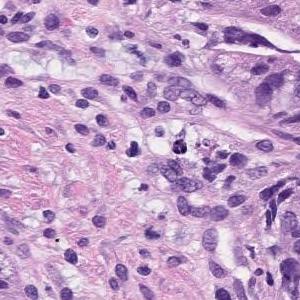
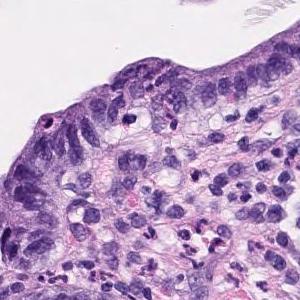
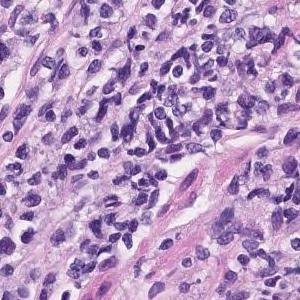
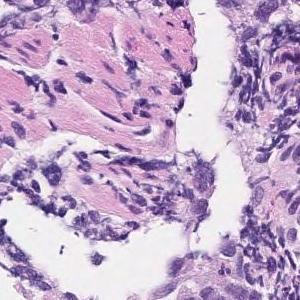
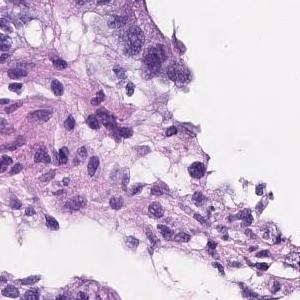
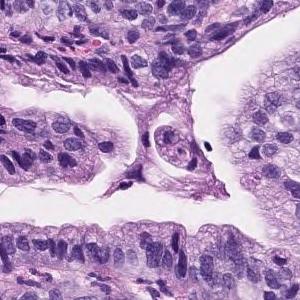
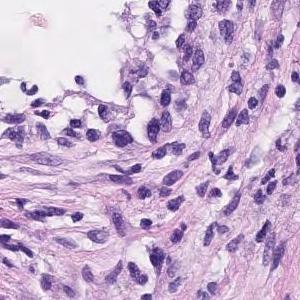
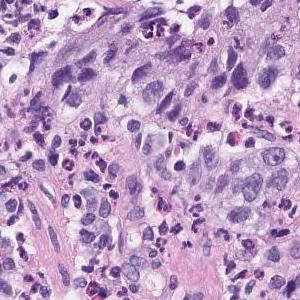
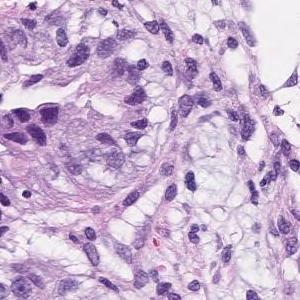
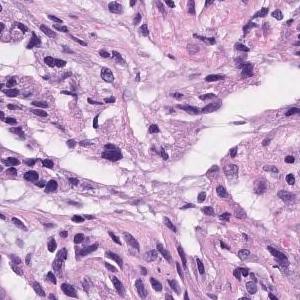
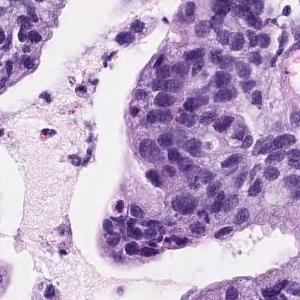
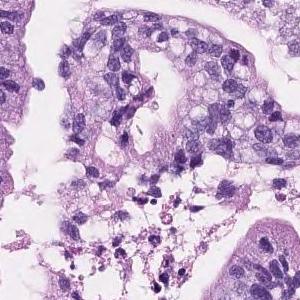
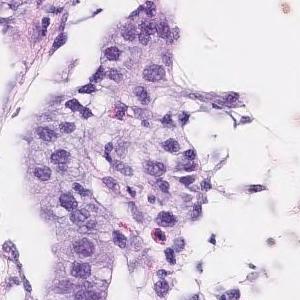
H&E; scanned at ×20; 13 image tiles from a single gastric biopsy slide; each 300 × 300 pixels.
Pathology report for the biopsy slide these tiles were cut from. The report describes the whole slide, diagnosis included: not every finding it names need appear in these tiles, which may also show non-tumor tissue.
Tumor cells are large, highly columnar, large club-shaped nuclei, and are associated with chromatin aggregation. Papillary adenocarcinoma.
